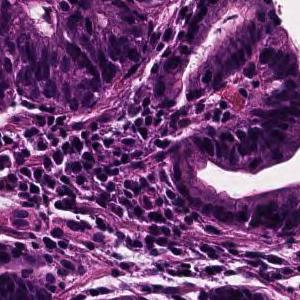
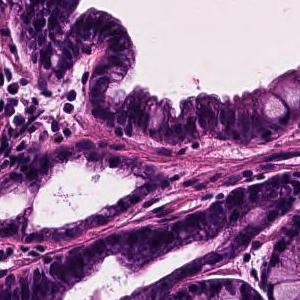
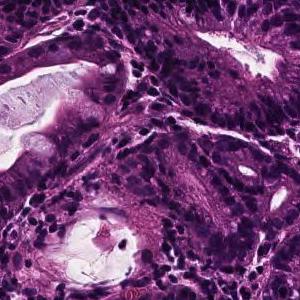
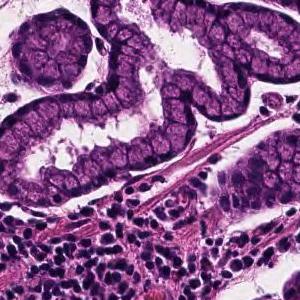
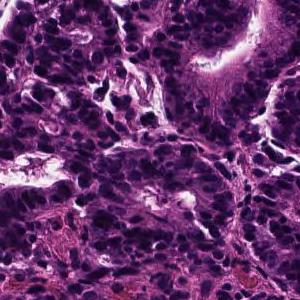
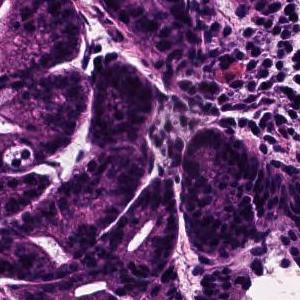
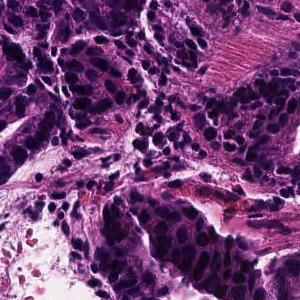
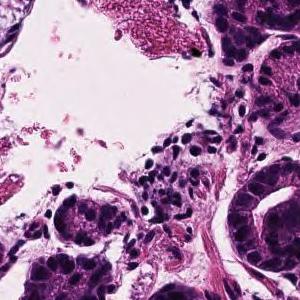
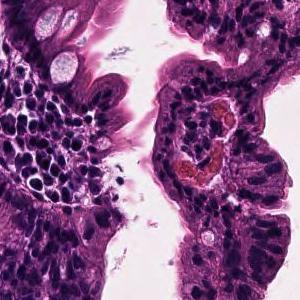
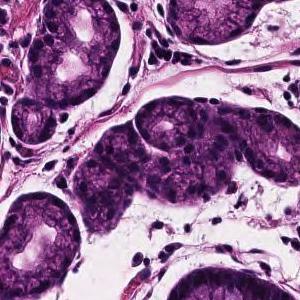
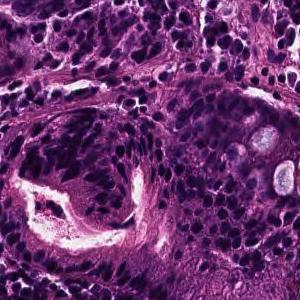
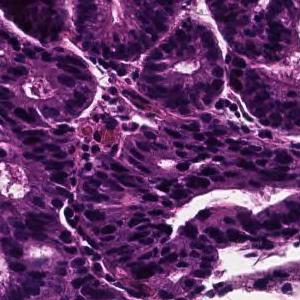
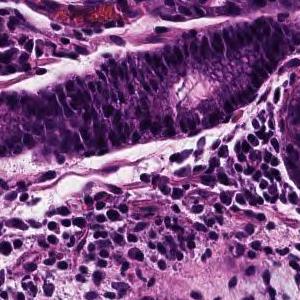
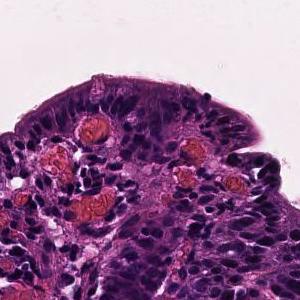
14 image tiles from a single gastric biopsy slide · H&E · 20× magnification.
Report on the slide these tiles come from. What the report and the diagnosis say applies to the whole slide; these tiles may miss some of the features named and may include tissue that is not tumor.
In the superficial epithelium, tumor tissue infiltrated by partial fusion of medium-sized to small, irregular glandular ducts is observed. moderately differentiated tubular adenocarcinoma
